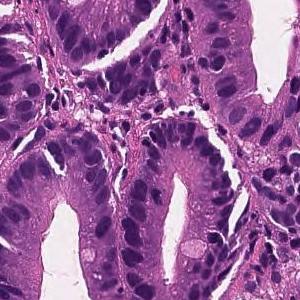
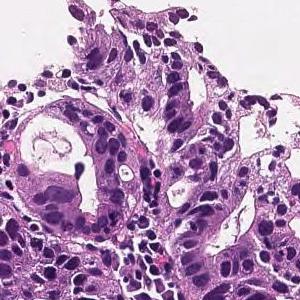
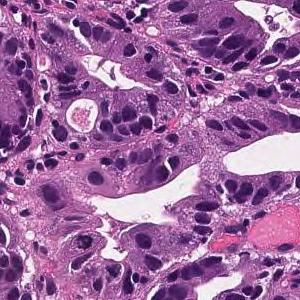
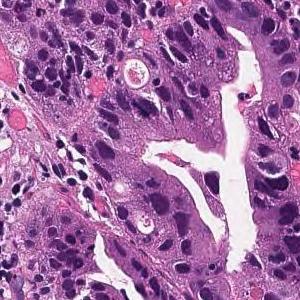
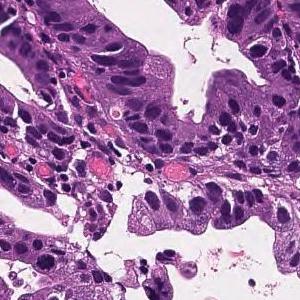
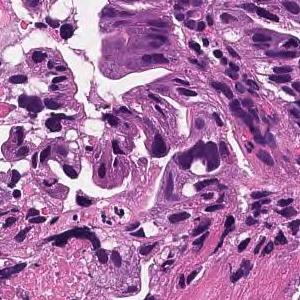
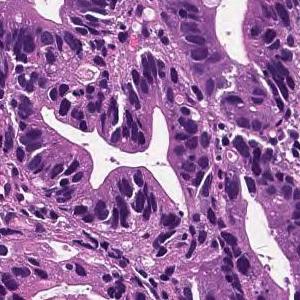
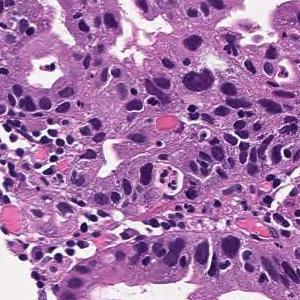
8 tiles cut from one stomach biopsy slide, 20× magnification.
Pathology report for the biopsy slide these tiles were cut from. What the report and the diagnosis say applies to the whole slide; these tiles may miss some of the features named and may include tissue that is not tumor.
From the superficial epithelium to the muscularis mucosae, tumor tissue consisting of medium-sized and irregular glandular ducts infiltrating is observed. Well differentiated tubular adenocarcinoma
